Scanned at ×20 · H&E · 9 image tiles from a single gastric biopsy slide · 300×300 px each.
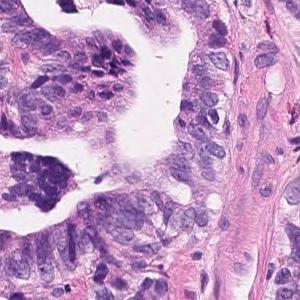
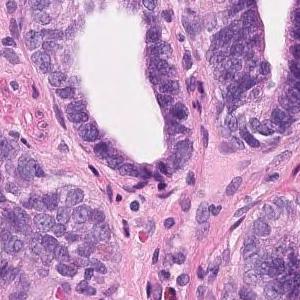
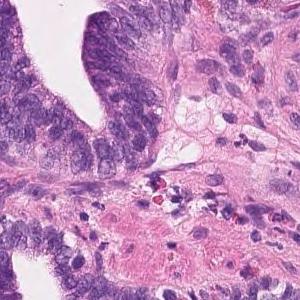
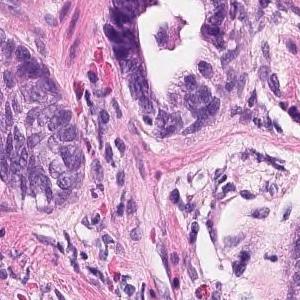
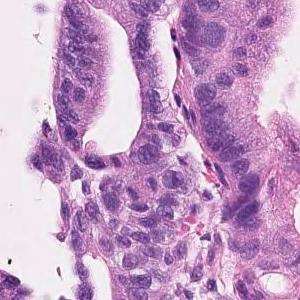
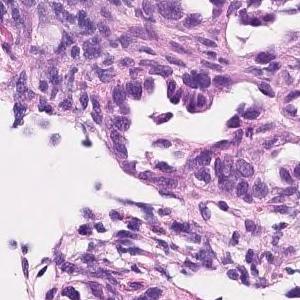
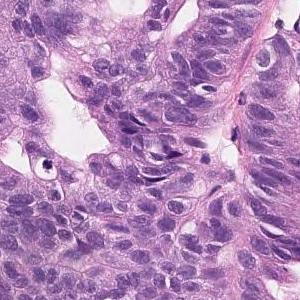
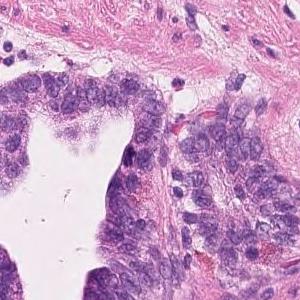
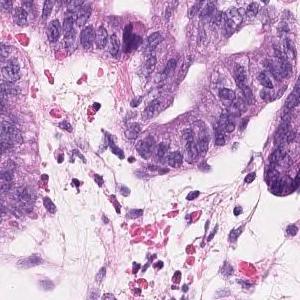
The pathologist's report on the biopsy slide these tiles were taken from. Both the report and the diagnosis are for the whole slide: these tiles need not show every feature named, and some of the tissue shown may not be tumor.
Tumor cells are large, highly columnar, large club-shaped nuclei, and are associated with chromatin aggregation. Papillary adenocarcinoma.
